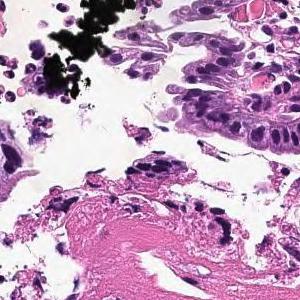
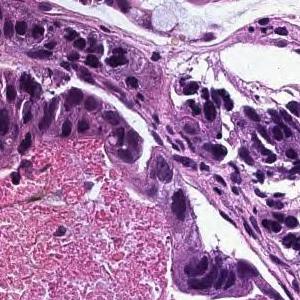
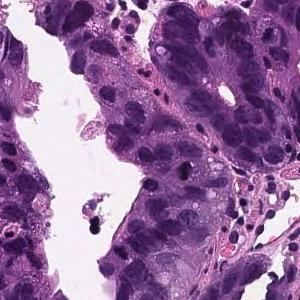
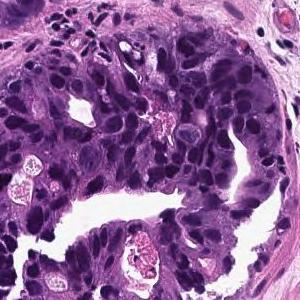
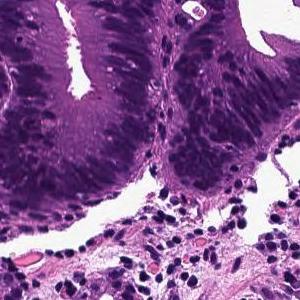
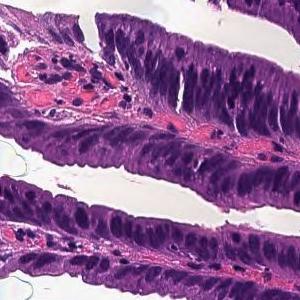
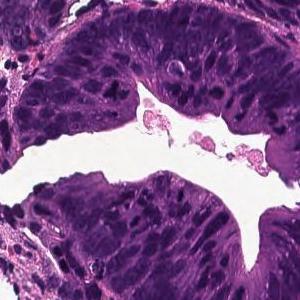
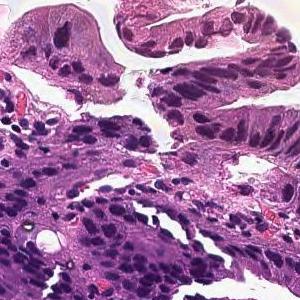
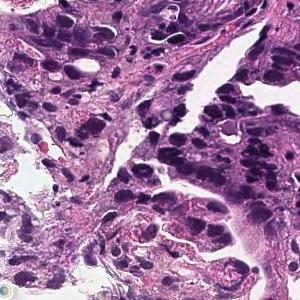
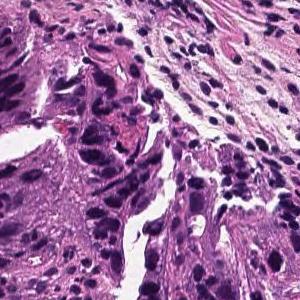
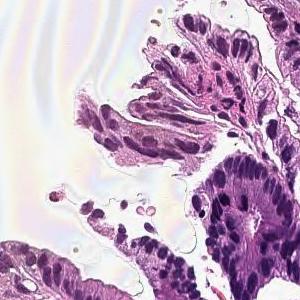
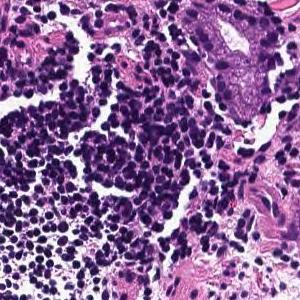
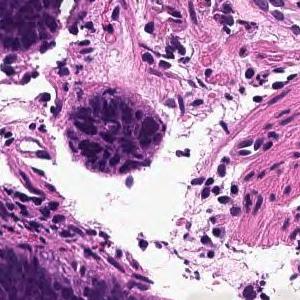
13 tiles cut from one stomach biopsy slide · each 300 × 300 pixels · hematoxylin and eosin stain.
Pathology report for the biopsy slide these tiles were cut from. The report describes the whole slide, diagnosis included: not every finding it names need appear in these tiles, which may also show non-tumor tissue.
In the superficial epithelium, tumor tissue that invades by forming medium-sized to small, irregular ducts is observed. moderately differentiated tubular adenocarcinoma.
